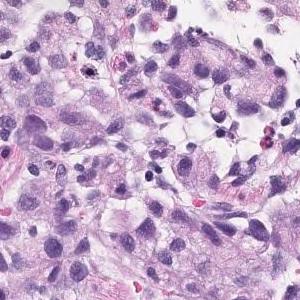
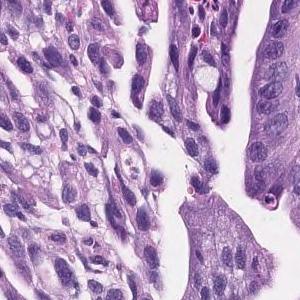
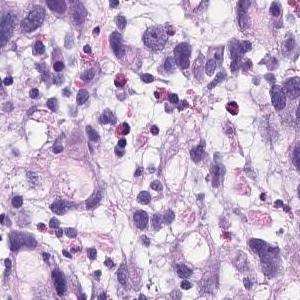
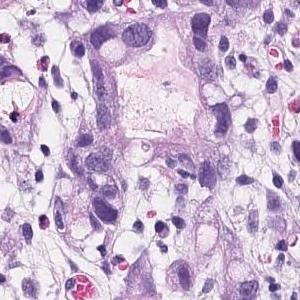
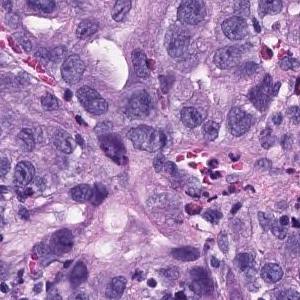
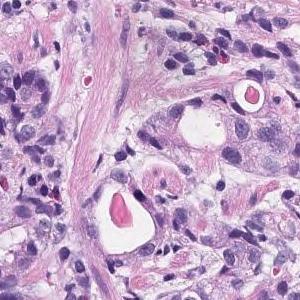
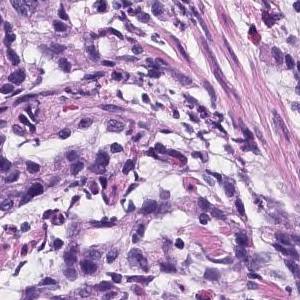
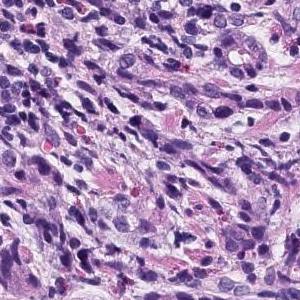
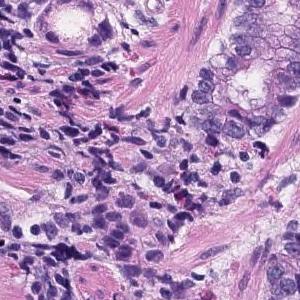
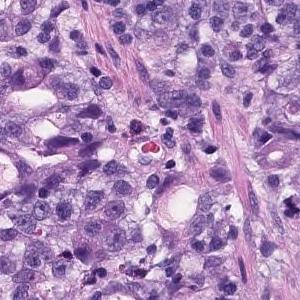
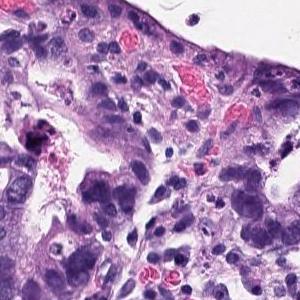
11 tiles cut from one stomach biopsy slide · hematoxylin and eosin stain.
Pathology report for the biopsy slide these tiles were cut from. The report and the diagnosis cover the entire slide, so not every feature they name need be visible here, and some tissue shown may not be tumor.
There are atypical l cells with atypical nuclei forming cord-like or irregular atypical ducts from solidity and proliferating in a comprehensive manner. Poorly differentiated adenocarcinoma, Moderately differentiated adenocarcinoma (poorly differentiated adenocarcinoma, solid type moderately differentiated tubular adenocarcinoma)
Subtype: Moderately to poorly differentiated adenocarcinoma.
The solid type named here is a Japanese Classification of Gastric Carcinoma category; WHO 2019 calls it tubular adenocarcinoma, poorly differentiated.
